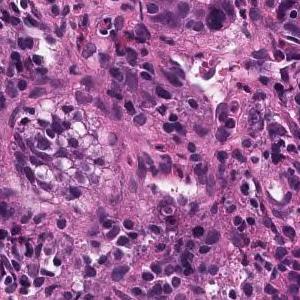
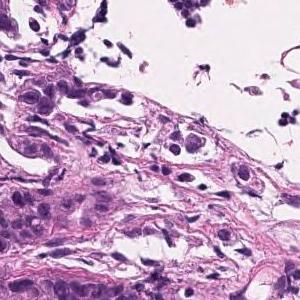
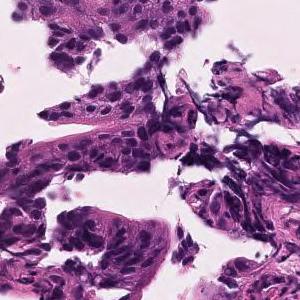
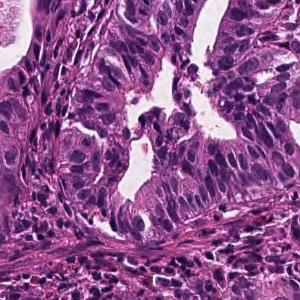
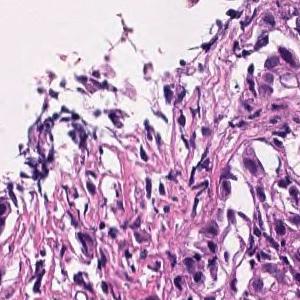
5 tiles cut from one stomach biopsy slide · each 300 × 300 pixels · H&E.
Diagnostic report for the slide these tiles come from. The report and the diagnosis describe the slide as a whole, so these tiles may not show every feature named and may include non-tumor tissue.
Tumor tissue consisting of medium-sized, cord-like or irregular glandular infiltration is observed in the superficial epithelium. Poorly differentiated adenocarcinoma, non-solid type or moderately differentiated tubular adenocarcinoma
The non-solid type named here is a Japanese Classification of Gastric Carcinoma category.
